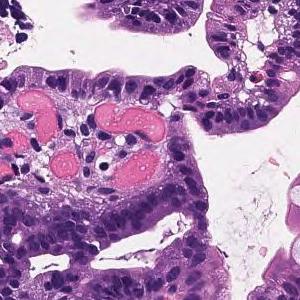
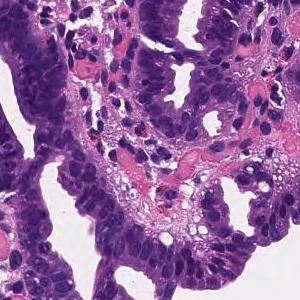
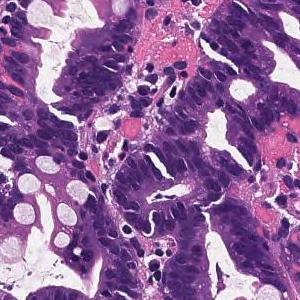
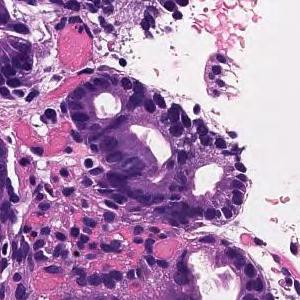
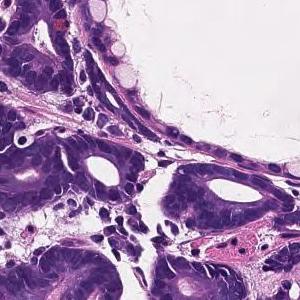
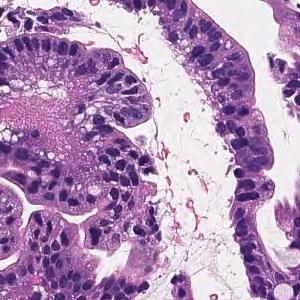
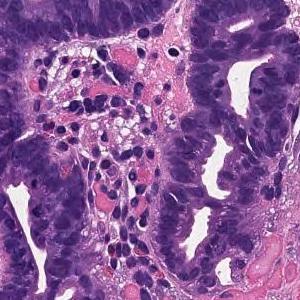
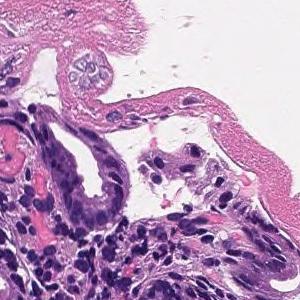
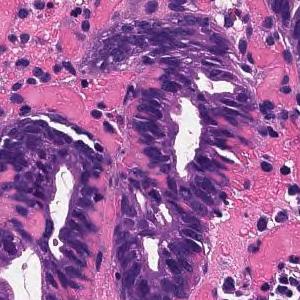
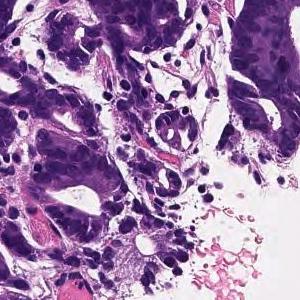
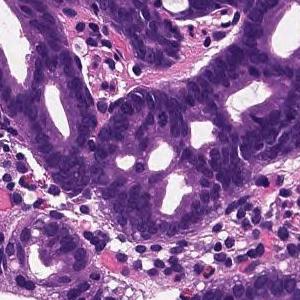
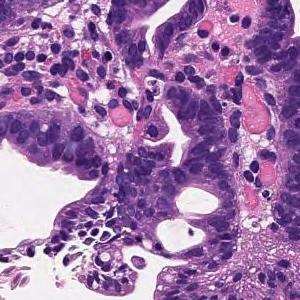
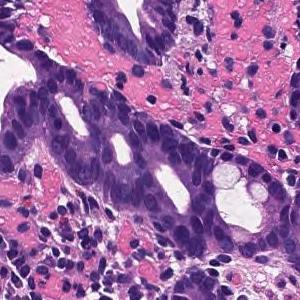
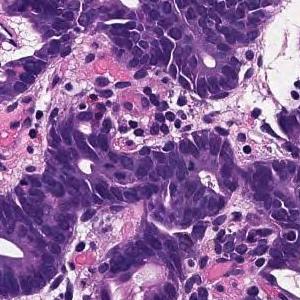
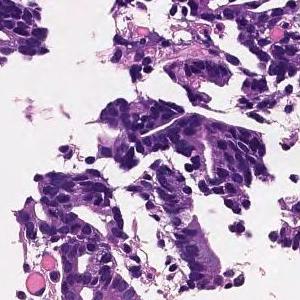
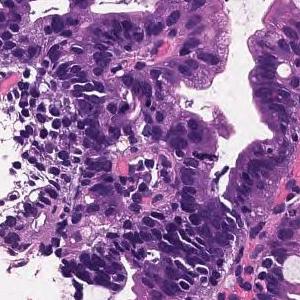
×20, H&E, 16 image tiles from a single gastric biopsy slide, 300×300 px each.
Pathology report for the biopsy slide these tiles were cut from. The report and the diagnosis describe the slide as a whole, so these tiles may not show every feature named and may include non-tumor tissue.
On the superficial epithelium, tumor tissue is found in which medium-sized irregular gland ducts fuse with each other and infiltrate. moderately differentiated tubular adenocarcinoma
